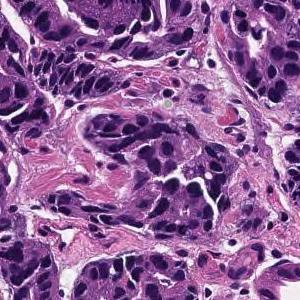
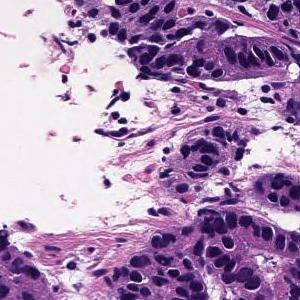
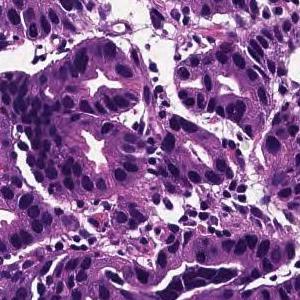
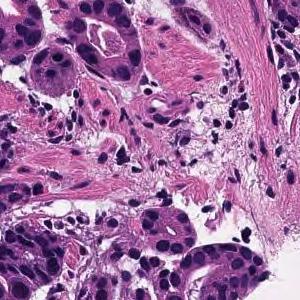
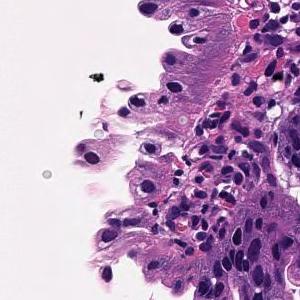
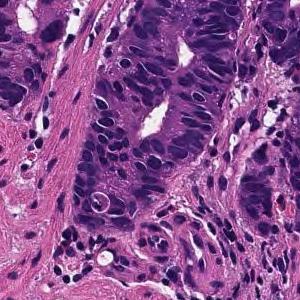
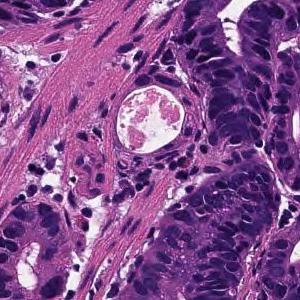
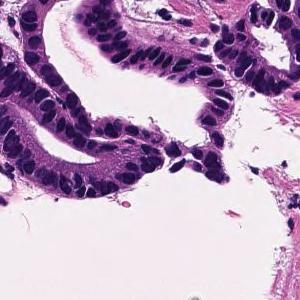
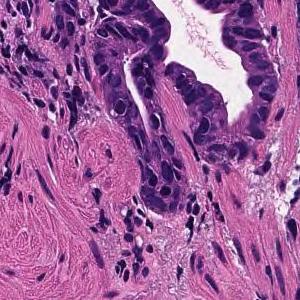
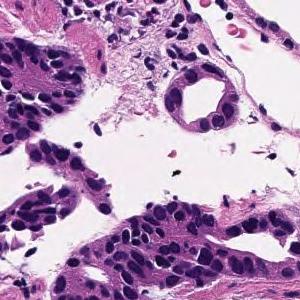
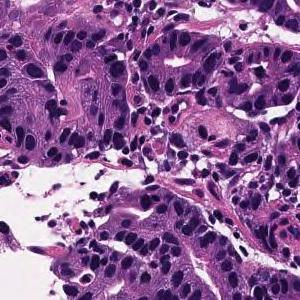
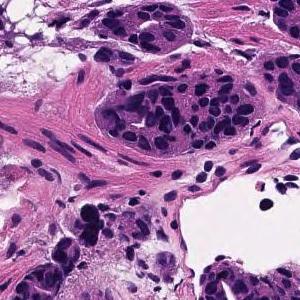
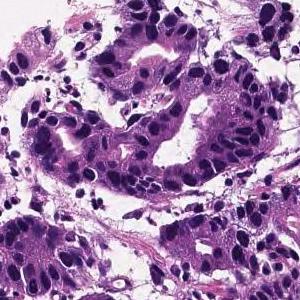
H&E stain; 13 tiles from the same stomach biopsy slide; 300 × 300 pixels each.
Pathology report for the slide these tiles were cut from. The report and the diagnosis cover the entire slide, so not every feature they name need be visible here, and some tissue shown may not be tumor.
From the superficial epithelium to the muscularis mucosae, tumor tissue consisting of medium-sized and irregular glandular ducts infiltrating is observed. Well differentiated tubular adenocarcinoma
